Scanned at ×20 · H&E · 16 tiles cut from one stomach biopsy slide · 300 × 300 pixels each.
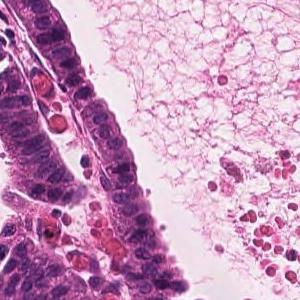
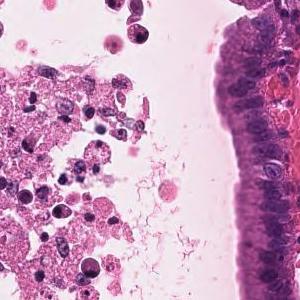
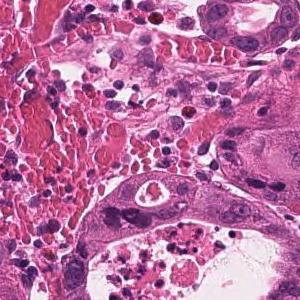
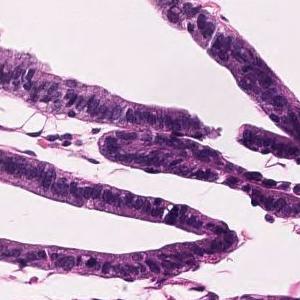
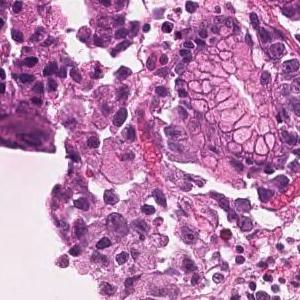
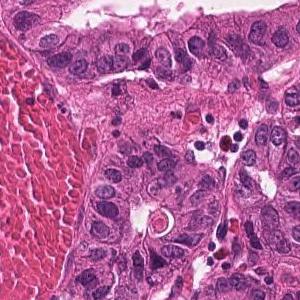
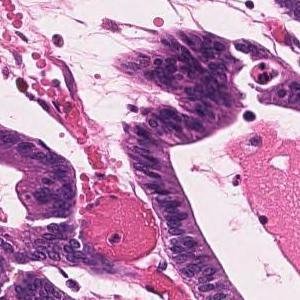
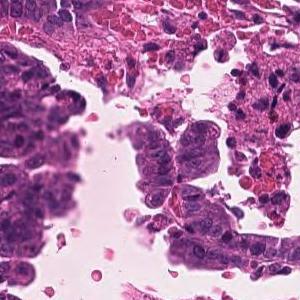
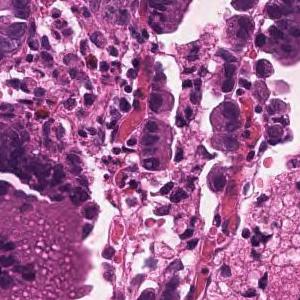
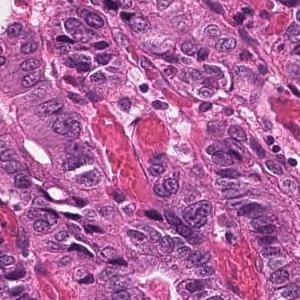
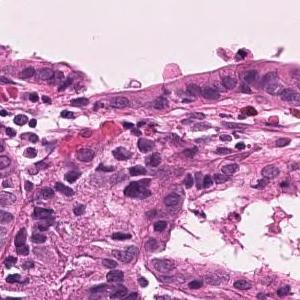
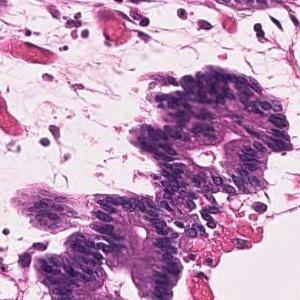
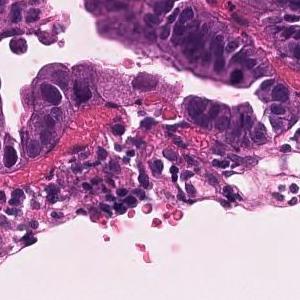
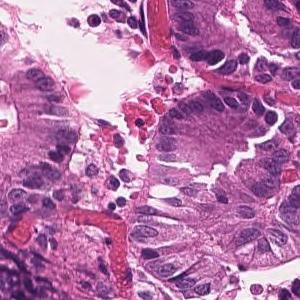
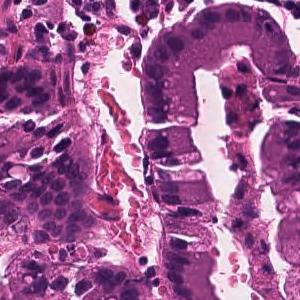
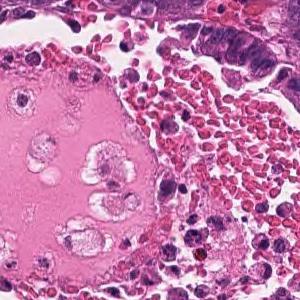
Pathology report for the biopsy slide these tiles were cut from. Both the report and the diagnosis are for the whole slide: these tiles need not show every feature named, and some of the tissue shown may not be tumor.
Infiltrating tumor tissue with medium-sized, irregular ductal structure or large papillary appearance is observed. Well differentiated tubular adenocarcinoma
